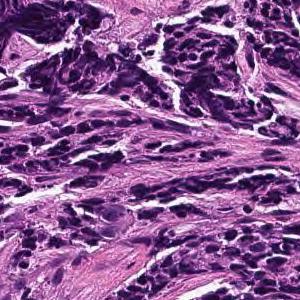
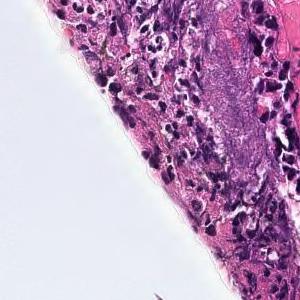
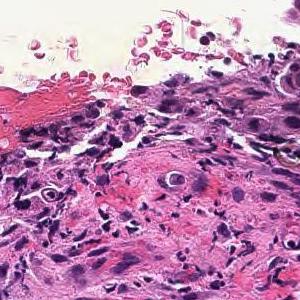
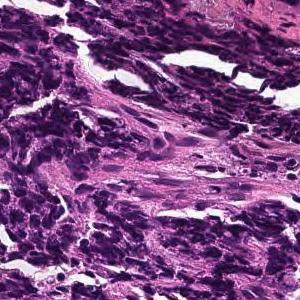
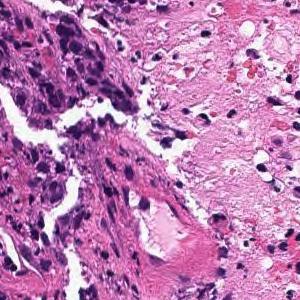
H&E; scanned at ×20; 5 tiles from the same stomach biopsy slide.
Diagnostic report for the slide these tiles come from. The findings and the diagnosis refer to the entire slide; these tiles show only part of it, possibly with non-tumor tissue, and may not show every feature named.
The superficial epithelium shows a large sheet or alveolar shape, and tumor tissue infiltrating without irregular ducts is observed. Poorly differentiated adenocarcinoma, solid-type
Subtype: Poorly differentiated adenocarcinoma, solid type, a category of the Japanese Classification of Gastric Carcinoma; in the WHO 2019 classification it is tubular adenocarcinoma, poorly differentiated.
